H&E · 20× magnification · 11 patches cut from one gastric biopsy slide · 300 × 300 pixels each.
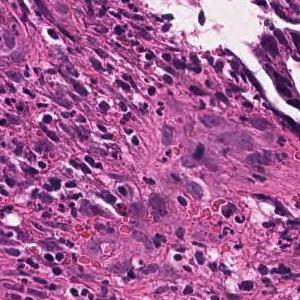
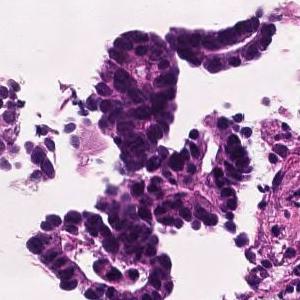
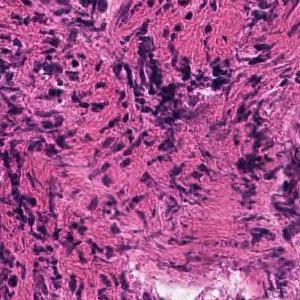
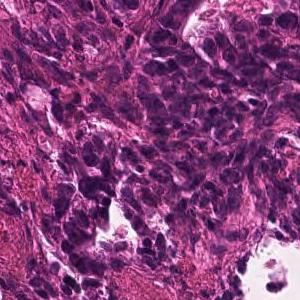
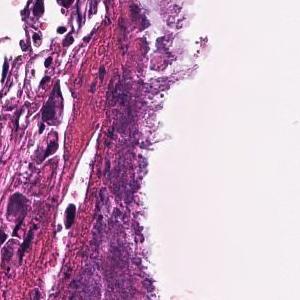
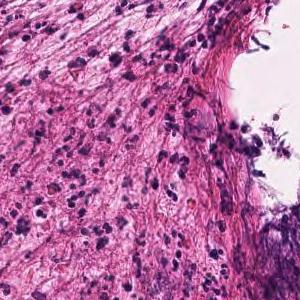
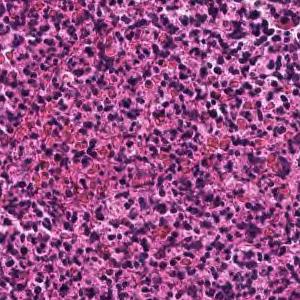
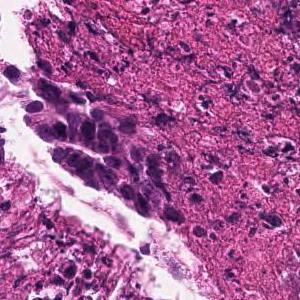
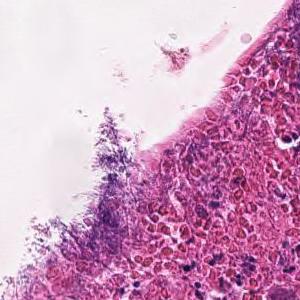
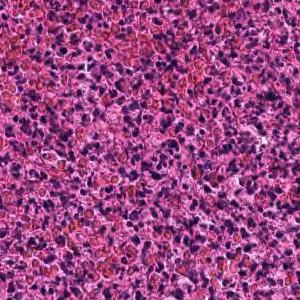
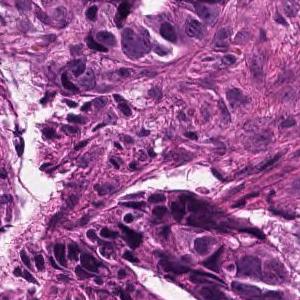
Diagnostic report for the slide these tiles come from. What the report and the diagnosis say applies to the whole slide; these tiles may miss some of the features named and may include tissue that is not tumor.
In the superficial epithelium, tumor tissue that invades by forming medium-sized to small, irregular ducts is observed. moderately differentiated tubular adenocarcinoma.
